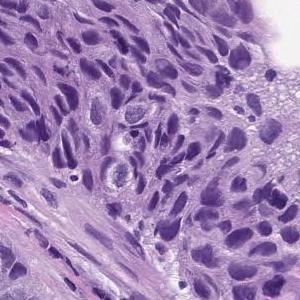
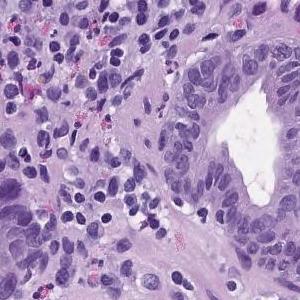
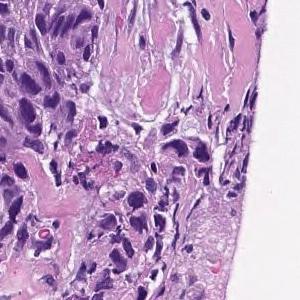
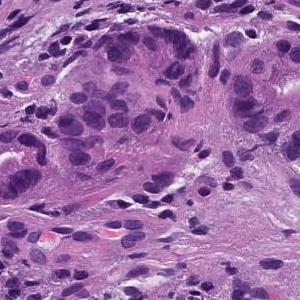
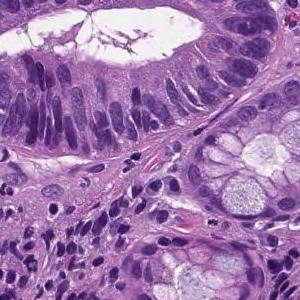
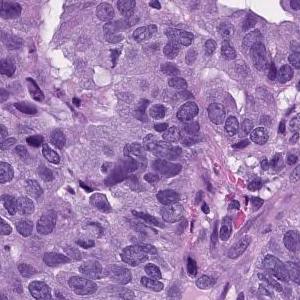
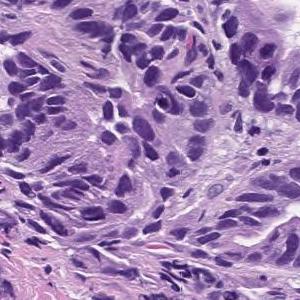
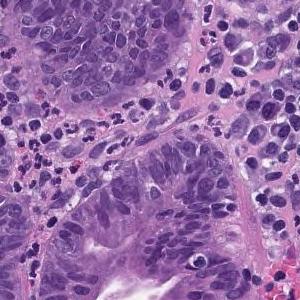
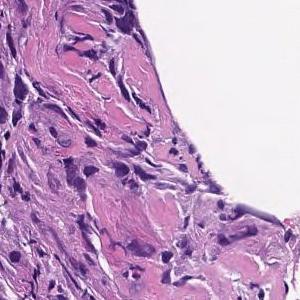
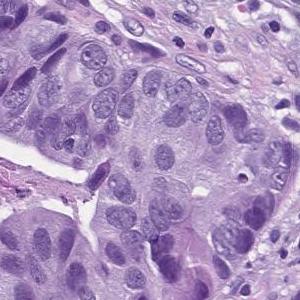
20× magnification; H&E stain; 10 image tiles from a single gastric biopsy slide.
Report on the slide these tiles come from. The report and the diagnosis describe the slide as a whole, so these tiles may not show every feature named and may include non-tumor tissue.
In the superficial epithelium, tumor tissue that invades by forming medium-sized to small, irregular ducts is observed. moderately differentiated tubular adenocarcinoma.
